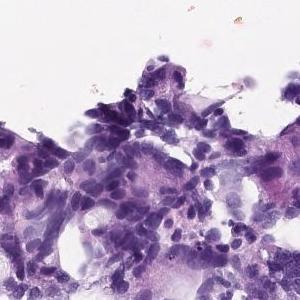
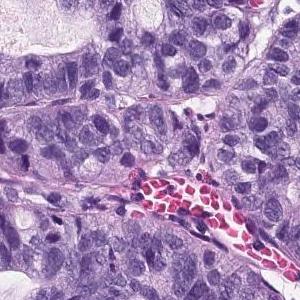
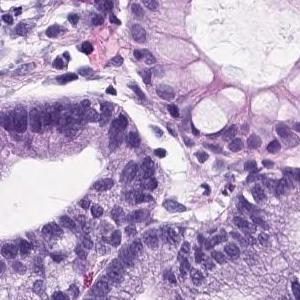
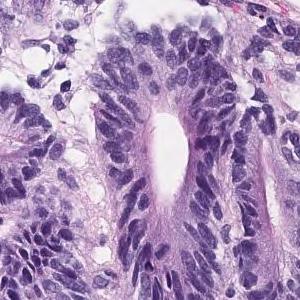
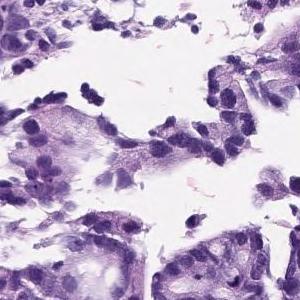
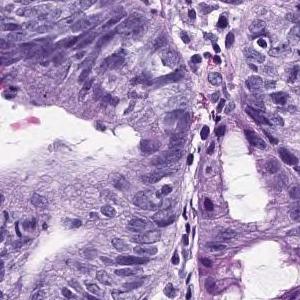
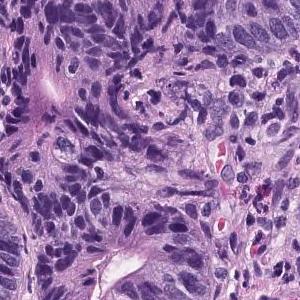
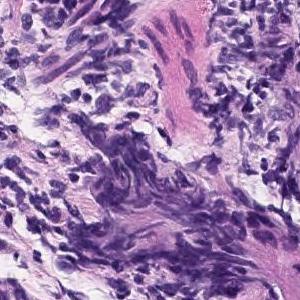
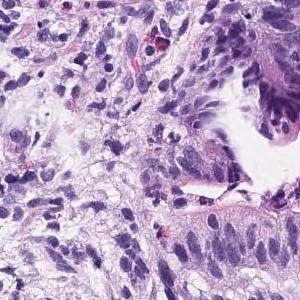
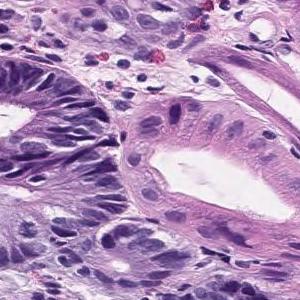
Scanned at ×20 · H&E · 10 patches cut from one gastric biopsy slide.
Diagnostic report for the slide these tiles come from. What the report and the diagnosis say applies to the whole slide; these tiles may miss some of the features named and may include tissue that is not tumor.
On the superficial epithelium, tumor tissue consisting of medium-sized to large-sized, round or irregular glandular duct growth images is observed. Well differentiated adenocarcinoma.
Histological subtype: Well differentiated tubular adenocarcinoma.
